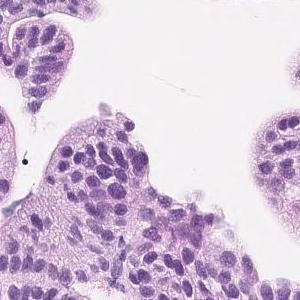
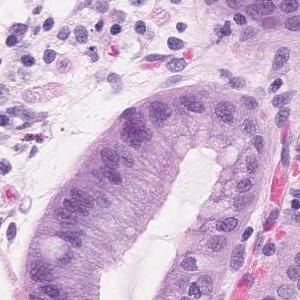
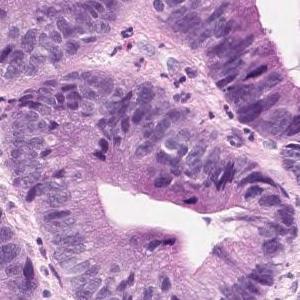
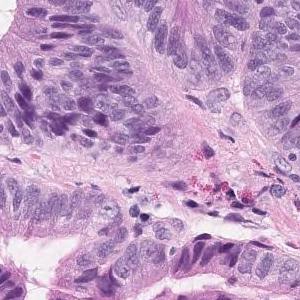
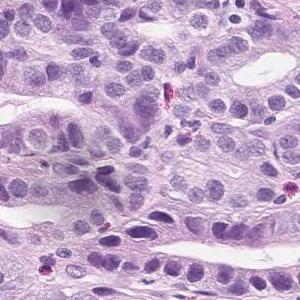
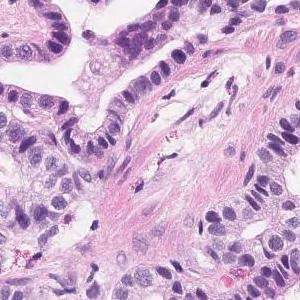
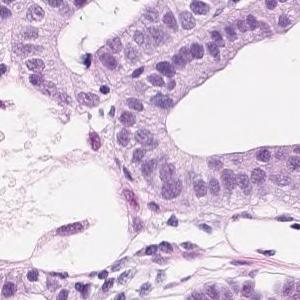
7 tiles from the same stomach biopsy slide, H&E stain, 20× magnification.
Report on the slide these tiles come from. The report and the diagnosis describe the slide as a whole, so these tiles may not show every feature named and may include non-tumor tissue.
Short atypical epithelium with swelling of the nucleus shows proliferating, large and small irregular ductal structures. Well to moderately differentiated tubular adenocarcinoma (well differentiated tubular adenocarcinoma-moderately differentiated tubular adenocarcinoma)
Histological subtype: Well to moderately differentiated tubular adenocarcinoma.
